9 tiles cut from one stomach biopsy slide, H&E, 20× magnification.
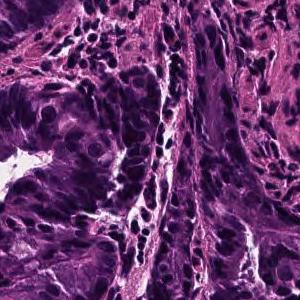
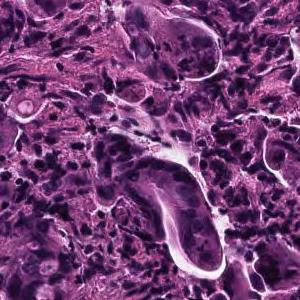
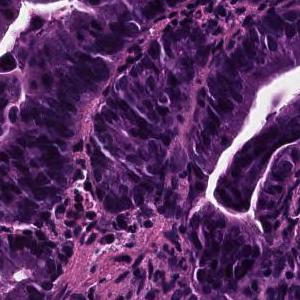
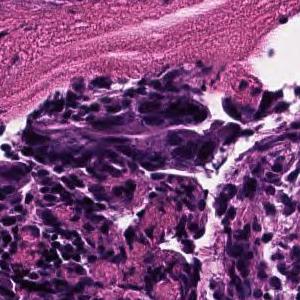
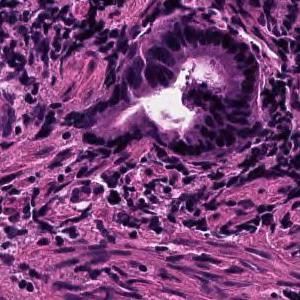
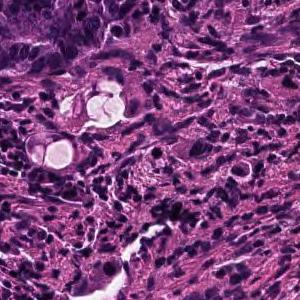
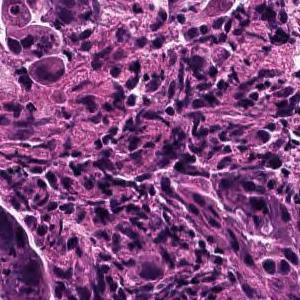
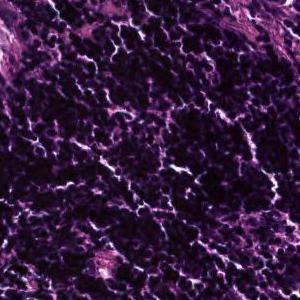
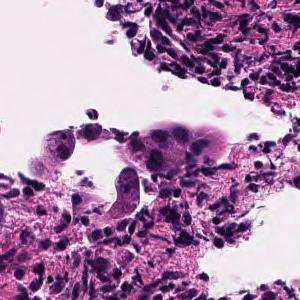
Report on the slide these tiles come from. The report and the diagnosis cover the entire slide, so not every feature they name need be visible here, and some tissue shown may not be tumor.
On the superficial epithelium, tumor tissue consisting of large, irregular glandular ducts partially fused and infiltrated is observed. Well to moderately differentiated tubular adenocarcinoma (well differentiated tubular adenocarcinoma, moderately differentiated tubular adenocarcinoma)
Subtype: Well to moderately differentiated tubular adenocarcinoma.
